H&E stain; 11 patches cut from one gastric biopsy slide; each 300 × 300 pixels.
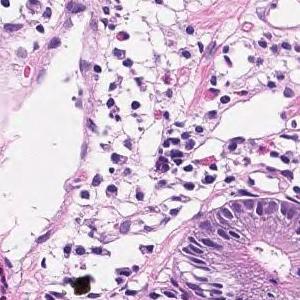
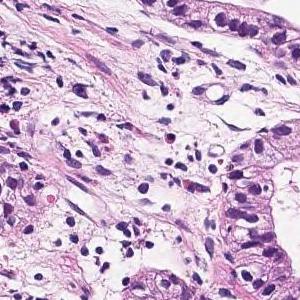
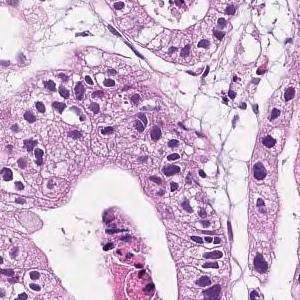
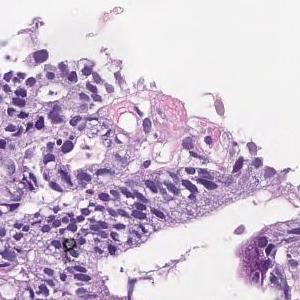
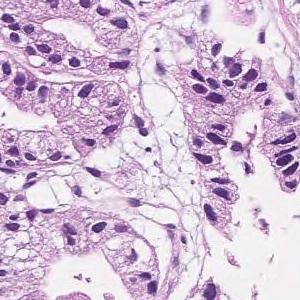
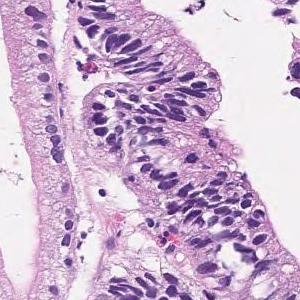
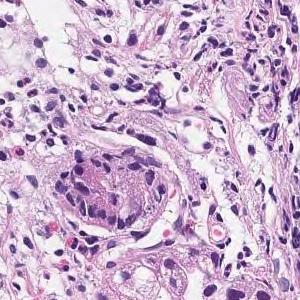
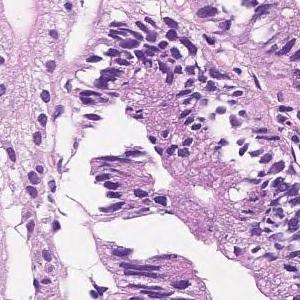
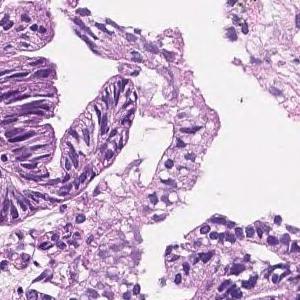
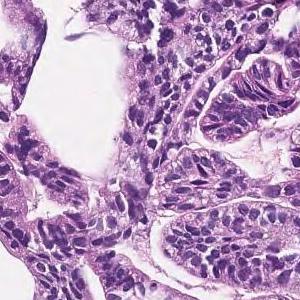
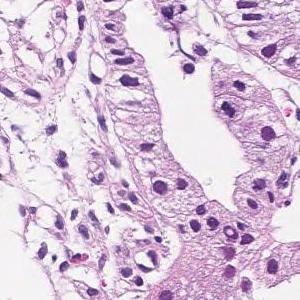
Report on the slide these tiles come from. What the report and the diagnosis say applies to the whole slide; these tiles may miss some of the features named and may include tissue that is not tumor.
In the superficial epithelium, tumor tissue that invades by forming medium-sized to small, irregular ducts is observed. Moderately differentiated adenocarcinoma.
Histologic type: Moderately differentiated tubular adenocarcinoma.
